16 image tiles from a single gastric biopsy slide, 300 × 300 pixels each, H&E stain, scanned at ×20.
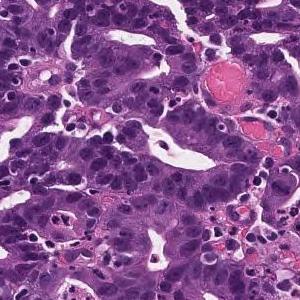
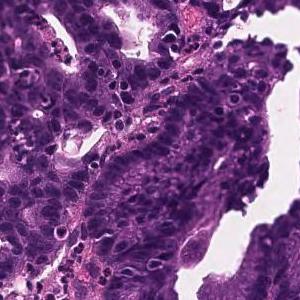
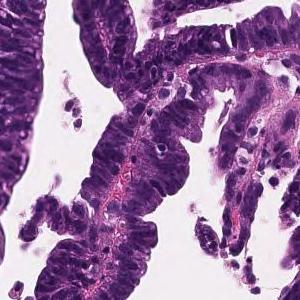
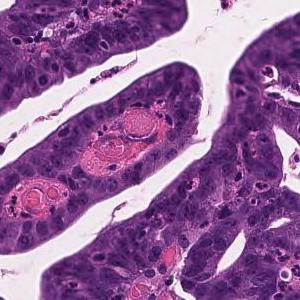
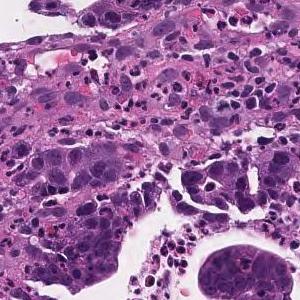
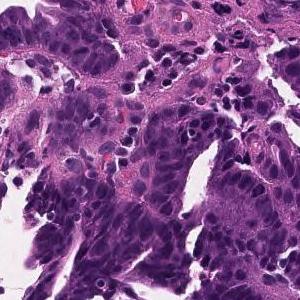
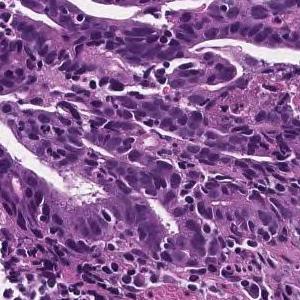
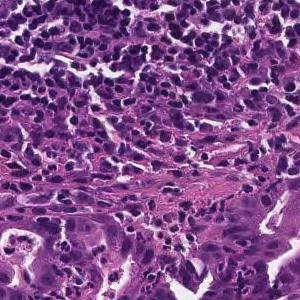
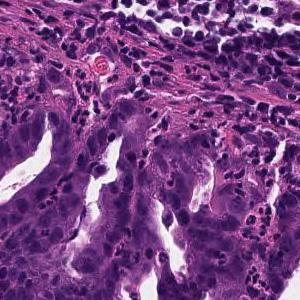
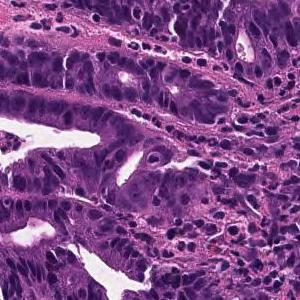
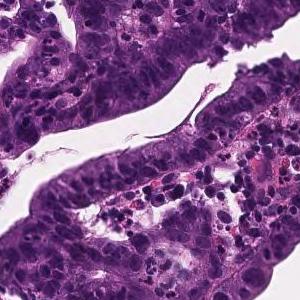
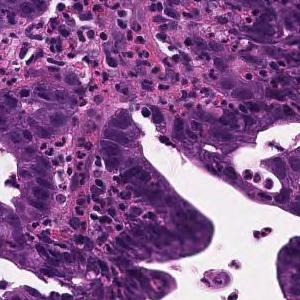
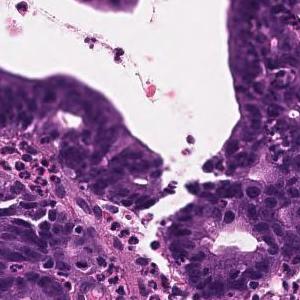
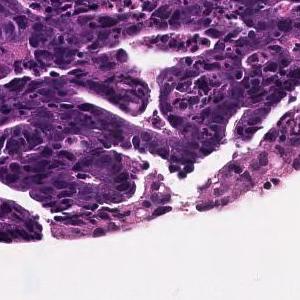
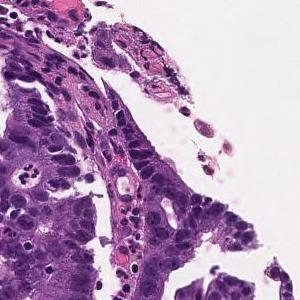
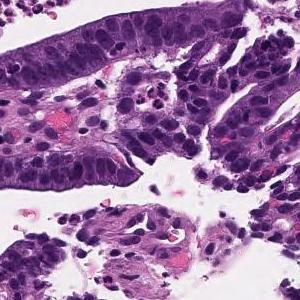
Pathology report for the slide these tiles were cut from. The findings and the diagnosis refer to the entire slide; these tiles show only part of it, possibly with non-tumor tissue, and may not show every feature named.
Tumor cells are large, highly columnar, large club-shaped nuclei, and are associated with chromatin aggregation. Papillary adenocarcinoma.
